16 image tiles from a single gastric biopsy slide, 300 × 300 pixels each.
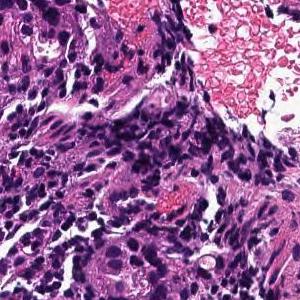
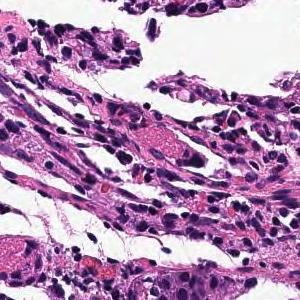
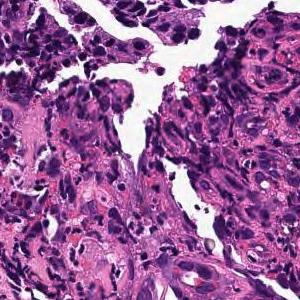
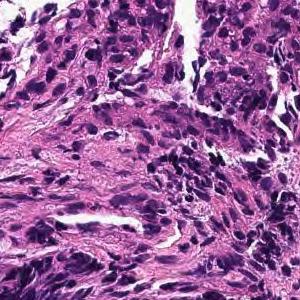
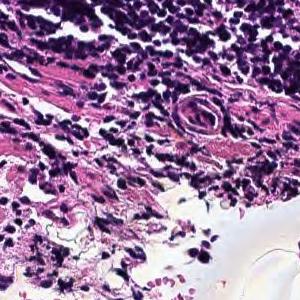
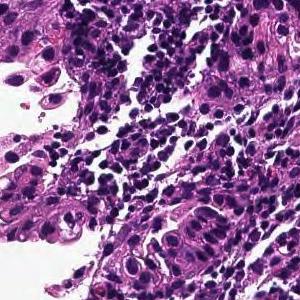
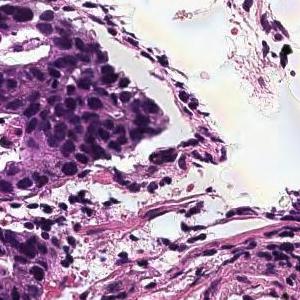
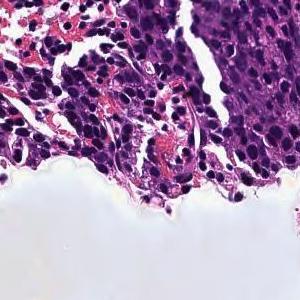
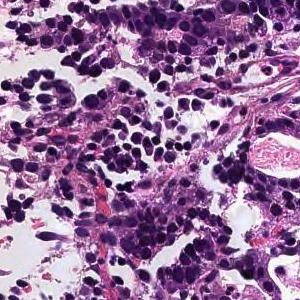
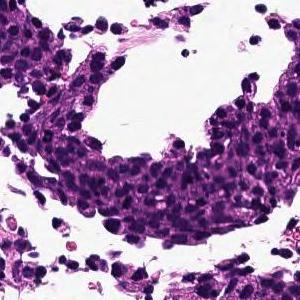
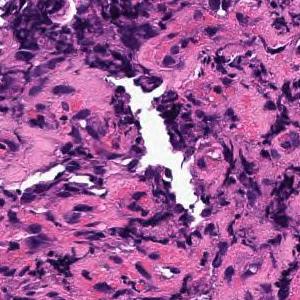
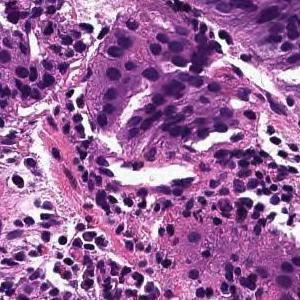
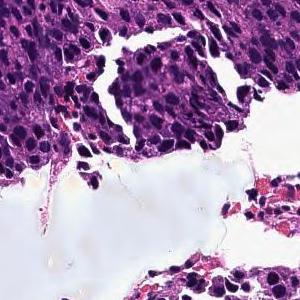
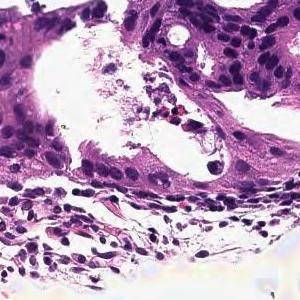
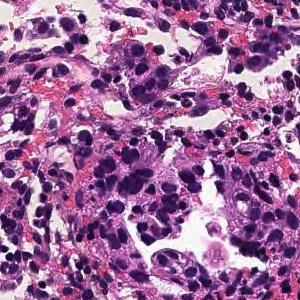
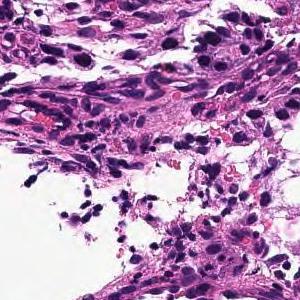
Pathology report for the slide these tiles were cut from. The report describes the whole slide, diagnosis included: not every finding it names need appear in these tiles, which may also show non-tumor tissue.
In the superficial epithelium, tumor tissue that invades by forming medium-sized to small, irregular ducts is observed. moderately differentiated tubular adenocarcinoma.
